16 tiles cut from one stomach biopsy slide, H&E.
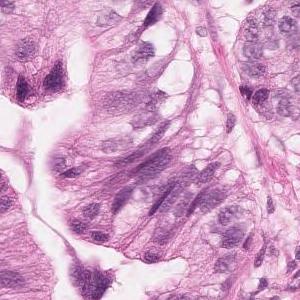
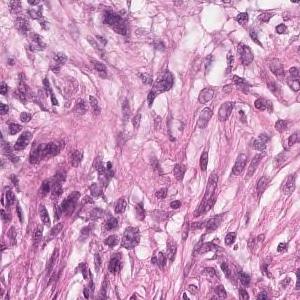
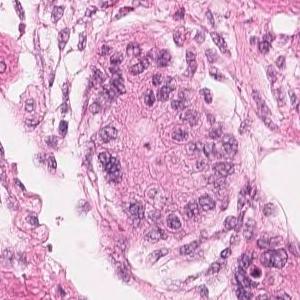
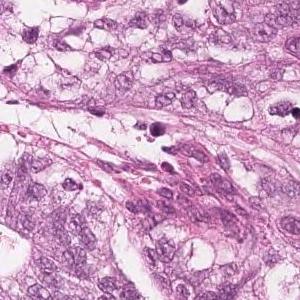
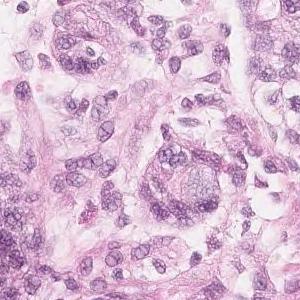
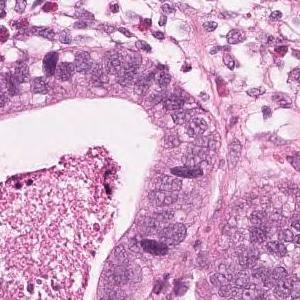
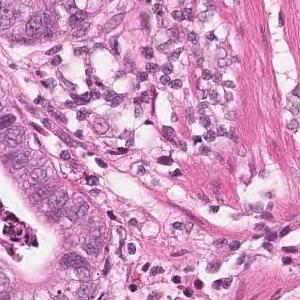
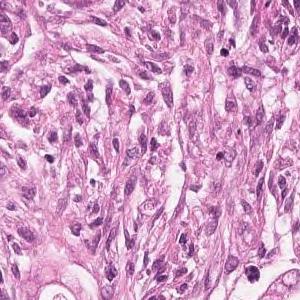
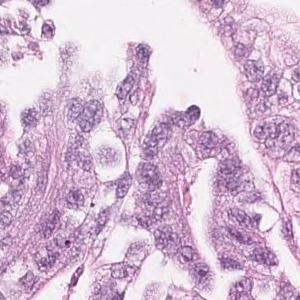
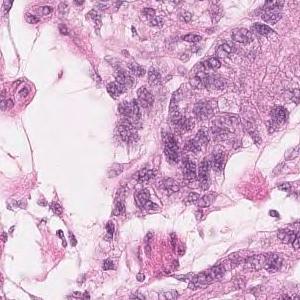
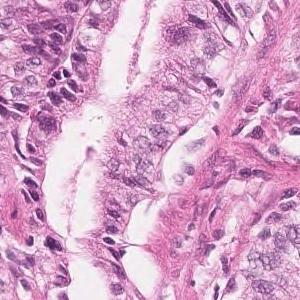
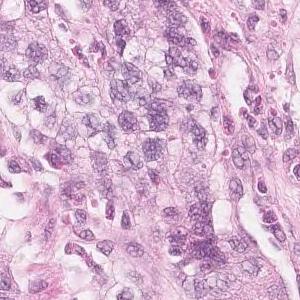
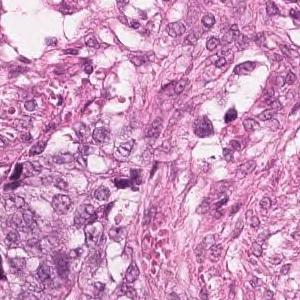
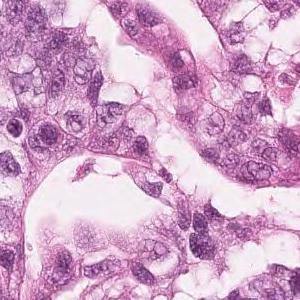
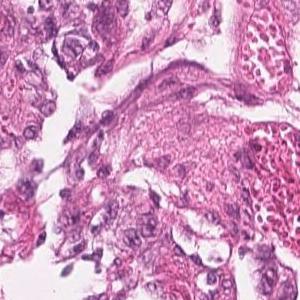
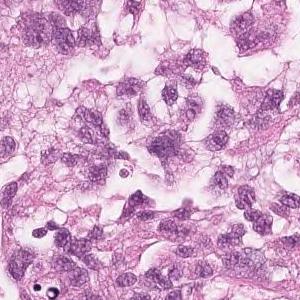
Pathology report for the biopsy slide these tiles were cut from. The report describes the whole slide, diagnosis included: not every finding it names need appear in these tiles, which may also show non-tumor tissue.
Highly columnar epithelium with disordered nuclear localization proliferates showing fusion ductal construction. moderately differentiated tubular adenocarcinoma
